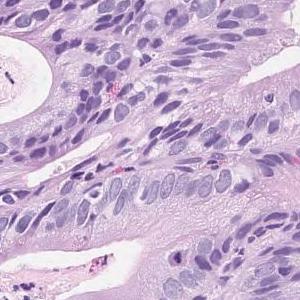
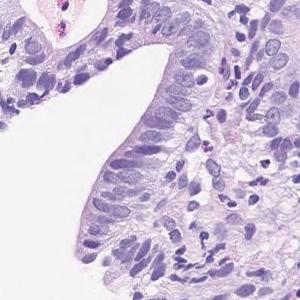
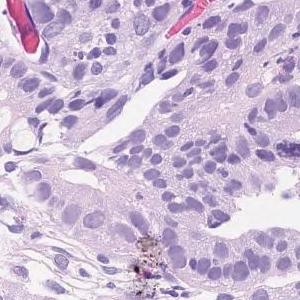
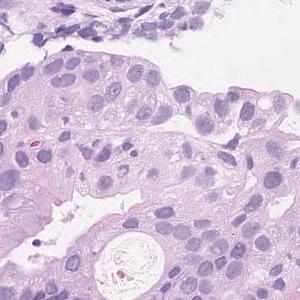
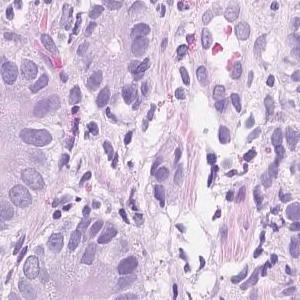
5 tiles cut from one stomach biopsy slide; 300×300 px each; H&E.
Pathology report for the biopsy slide these tiles were cut from. The findings and the diagnosis refer to the entire slide; these tiles show only part of it, possibly with non-tumor tissue, and may not show every feature named.
On the superficial epithelium, tumor tissue consisting of medium to small irregular tubules partially fused and proliferated is observed. moderately differentiated tubular adenocarcinoma
